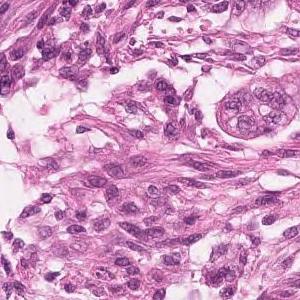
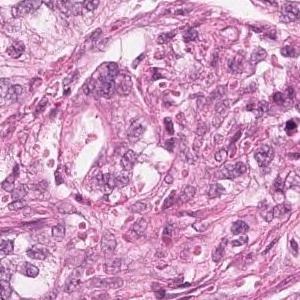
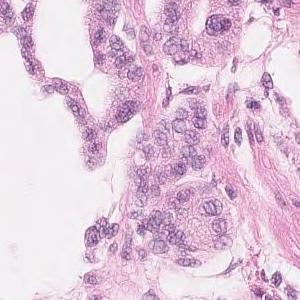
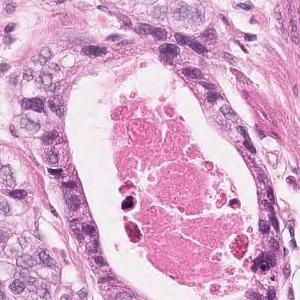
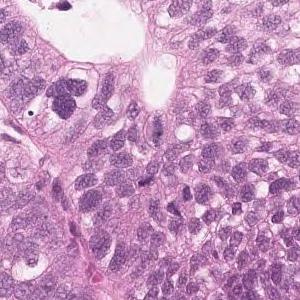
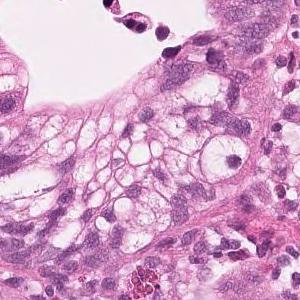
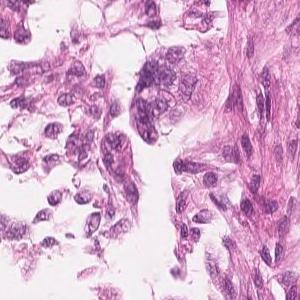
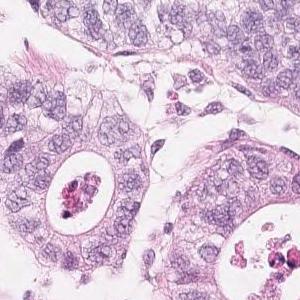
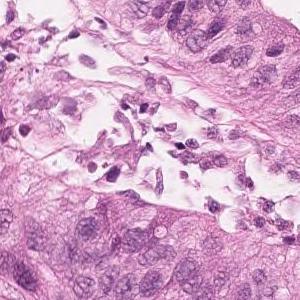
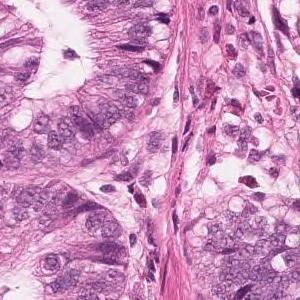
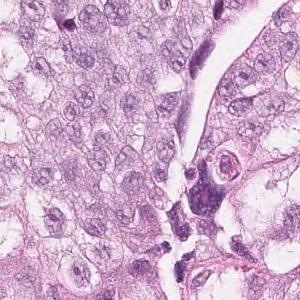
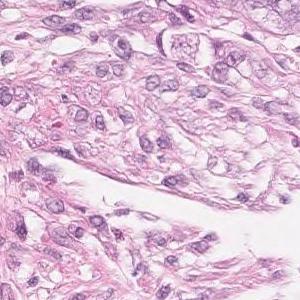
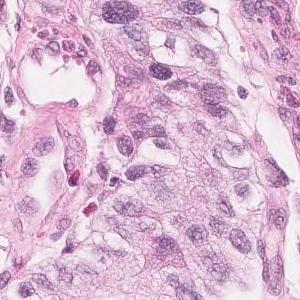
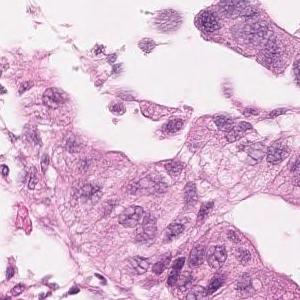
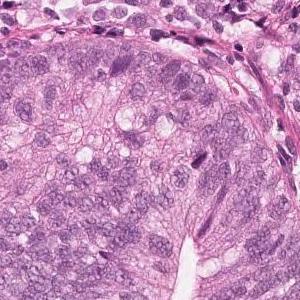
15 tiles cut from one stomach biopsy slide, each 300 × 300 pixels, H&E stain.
The pathologist's report on the biopsy slide these tiles were taken from. The report describes the whole slide, diagnosis included: not every finding it names need appear in these tiles, which may also show non-tumor tissue.
Highly columnar epithelium with disordered nuclear localization proliferates showing fusion ductal construction. moderately differentiated tubular adenocarcinoma
